×20 · 12 patches cut from one gastric biopsy slide · 300 × 300 pixels each.
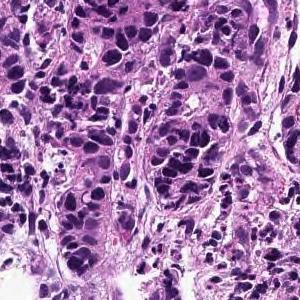
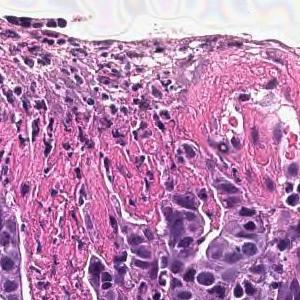
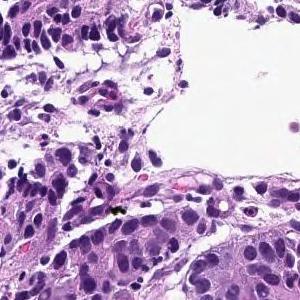
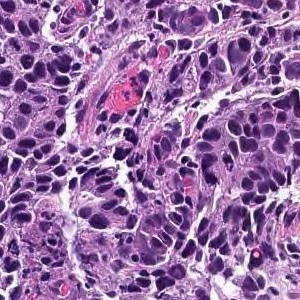
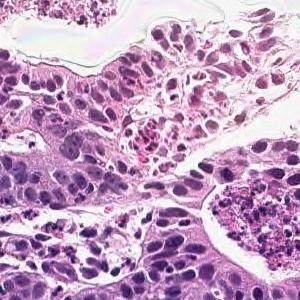
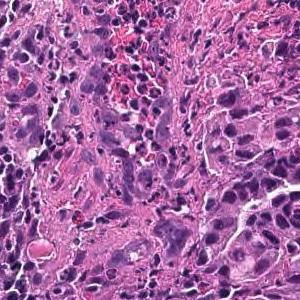
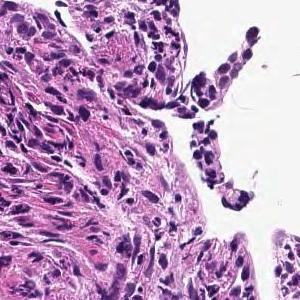
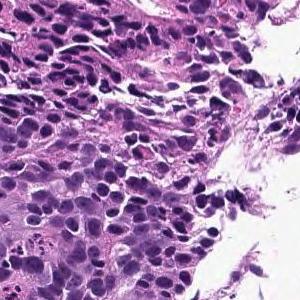
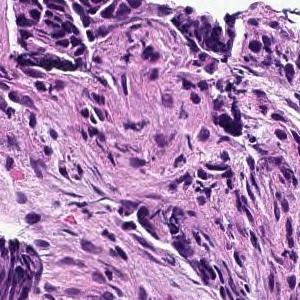
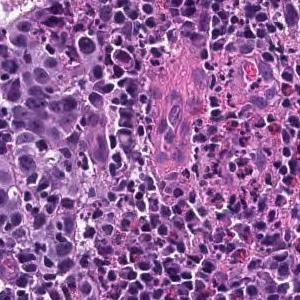
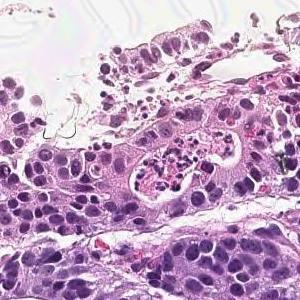
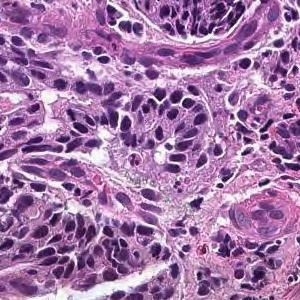
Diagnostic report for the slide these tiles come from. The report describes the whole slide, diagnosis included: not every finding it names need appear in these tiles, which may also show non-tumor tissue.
In the superficial epithelium, tumor tissue that invades by forming medium-sized to small, irregular ducts is observed. moderately differentiated tubular adenocarcinoma.
